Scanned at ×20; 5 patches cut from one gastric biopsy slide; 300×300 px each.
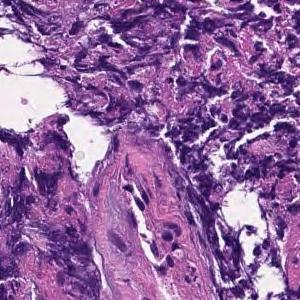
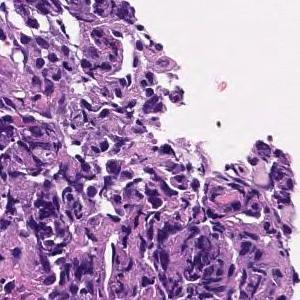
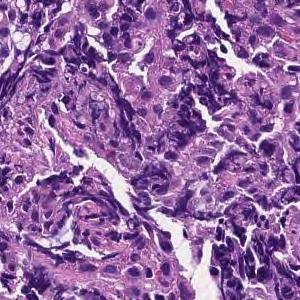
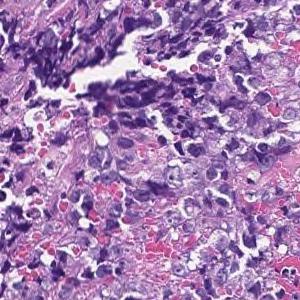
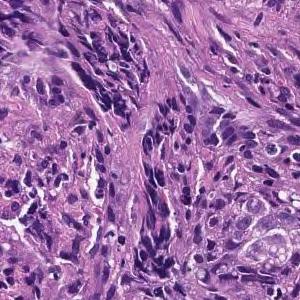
Pathology report for the biopsy slide these tiles were cut from. What the report and the diagnosis say applies to the whole slide; these tiles may miss some of the features named and may include tissue that is not tumor.
Most are composed of coagulative necrotic tissue, but some show a large sheet-like shape, and some show tumor tissue infiltrating with a small cord-like structure. Poorly differentiated adenocarcinoma, solid-type
Histological subtype: Poorly differentiated adenocarcinoma, solid type (Japanese Classification of Gastric Carcinoma). The WHO 2019 equivalent is tubular adenocarcinoma, poorly differentiated.
